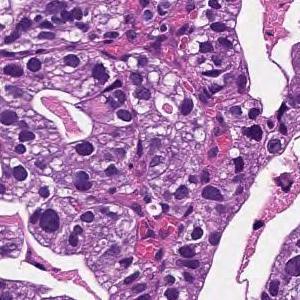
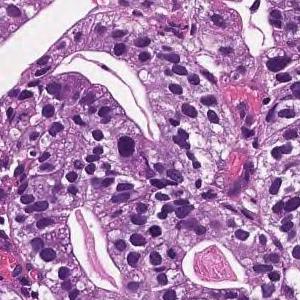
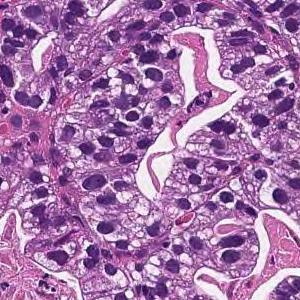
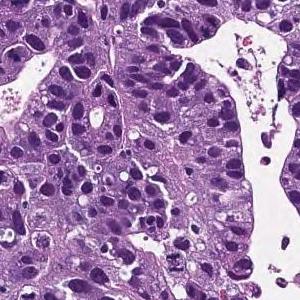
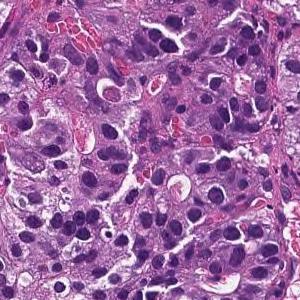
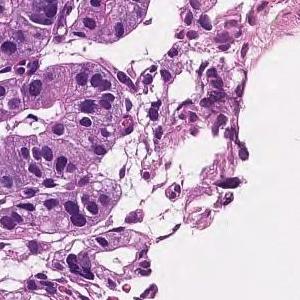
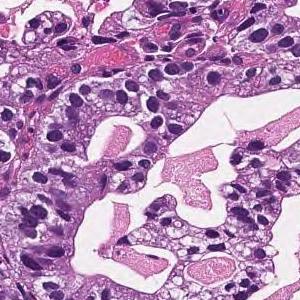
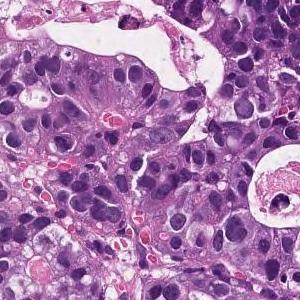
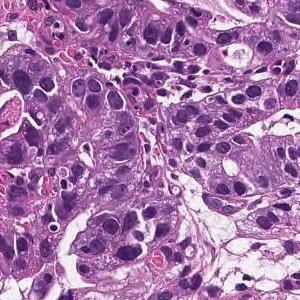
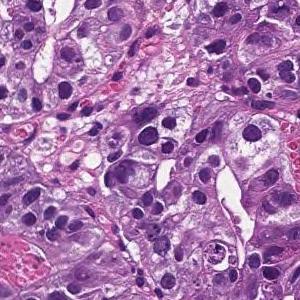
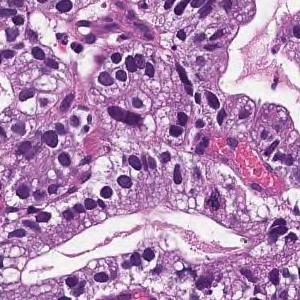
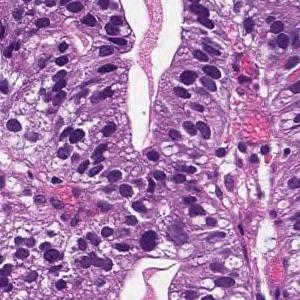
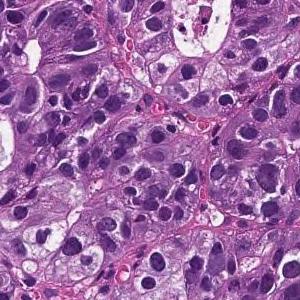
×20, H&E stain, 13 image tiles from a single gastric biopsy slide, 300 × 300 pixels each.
Pathology report for the slide these tiles were cut from. Both the report and the diagnosis are for the whole slide: these tiles need not show every feature named, and some of the tissue shown may not be tumor.
On the superficial epithelium, tumor tissue consisting of large, irregular glandular ducts partially fused and infiltrated is observed. Well to moderately differentiated tubular adenocarcinoma (well differentiated tubular adenocarcinoma, moderately differentiated tubular adenocarcinoma)
Tumor subtype: well to moderately differentiated tubular adenocarcinoma.
